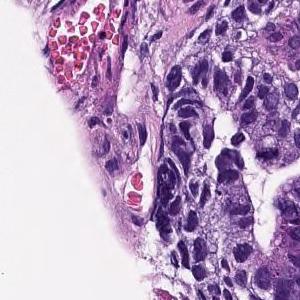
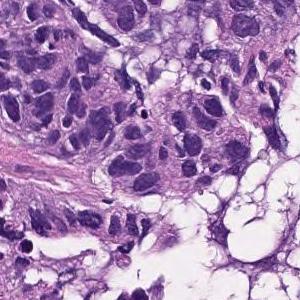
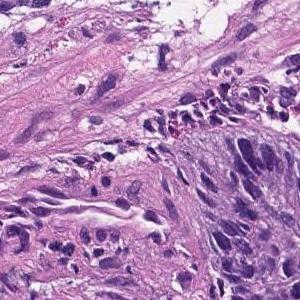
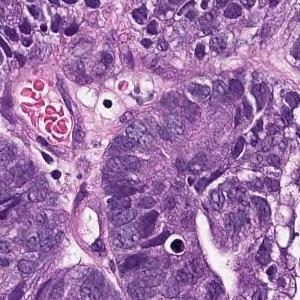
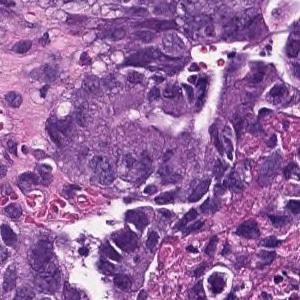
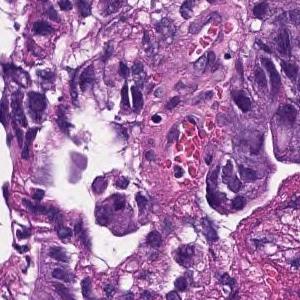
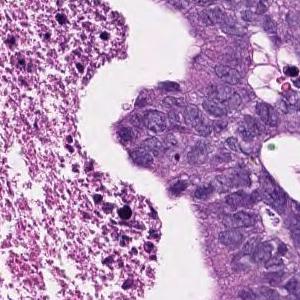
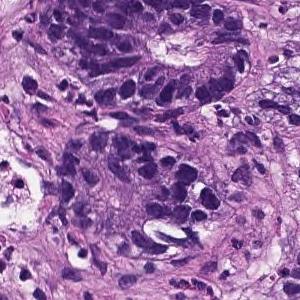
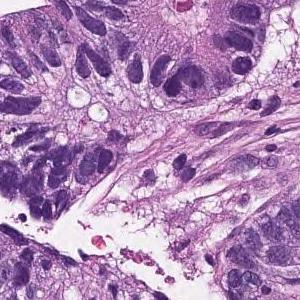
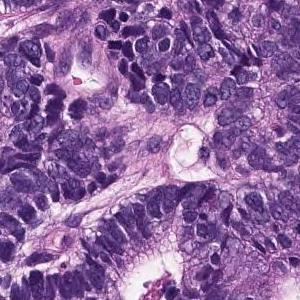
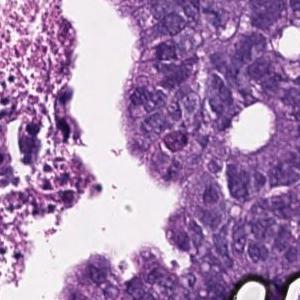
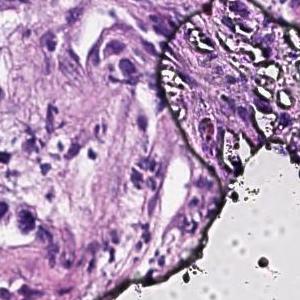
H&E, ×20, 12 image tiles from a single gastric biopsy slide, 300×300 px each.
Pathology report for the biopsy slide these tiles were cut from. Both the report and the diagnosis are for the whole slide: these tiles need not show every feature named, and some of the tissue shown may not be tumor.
In the superficial epithelium, tumor tissue that invades by forming medium-sized to small, irregular ducts is observed. moderately differentiated tubular adenocarcinoma.
